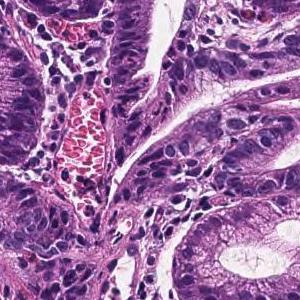
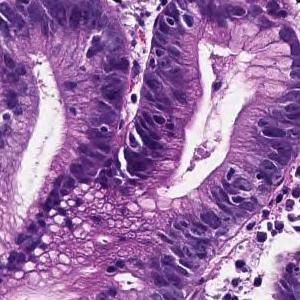
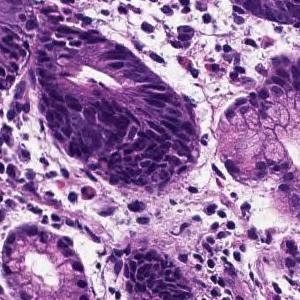
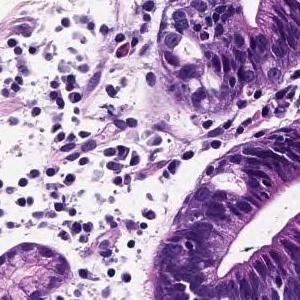
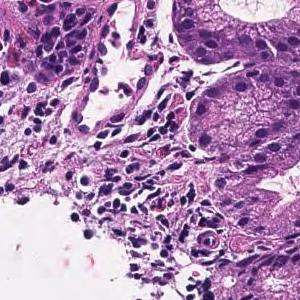
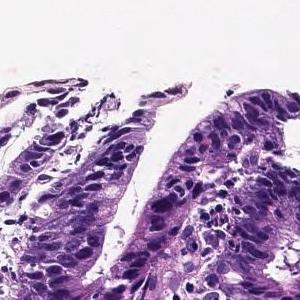
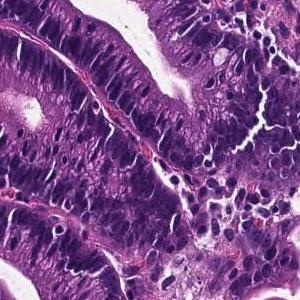
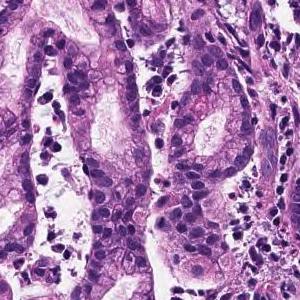
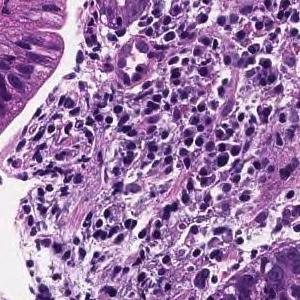
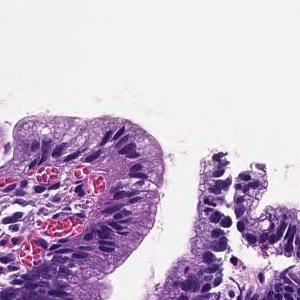
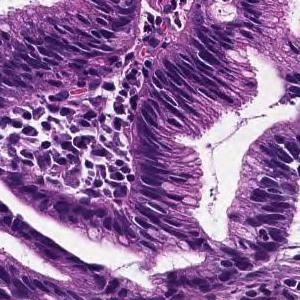
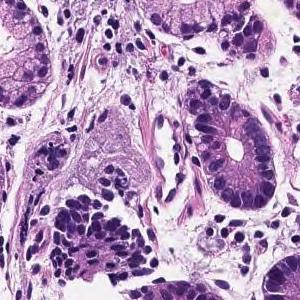
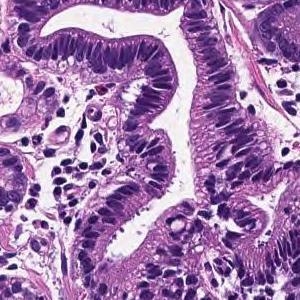
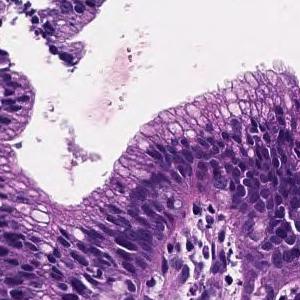
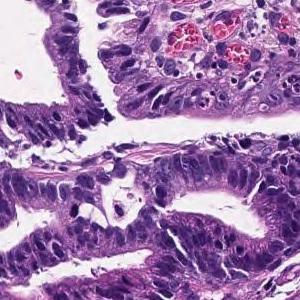
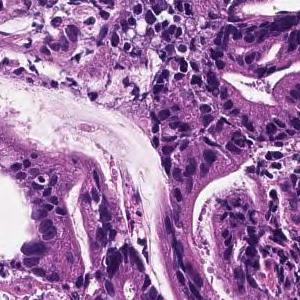
H&E stain; ×20; 16 tiles from the same stomach biopsy slide; 300×300 px each.
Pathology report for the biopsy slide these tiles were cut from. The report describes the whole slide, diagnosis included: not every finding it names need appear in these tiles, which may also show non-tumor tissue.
From the superficial epithelium to the muscularis mucosae, tumor tissue consisting of medium-sized and irregular glandular ducts infiltrating is observed. Well differentiated tubular adenocarcinoma
